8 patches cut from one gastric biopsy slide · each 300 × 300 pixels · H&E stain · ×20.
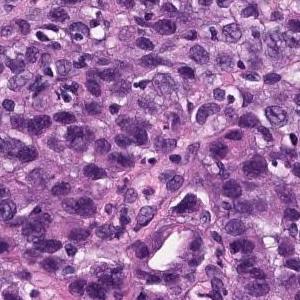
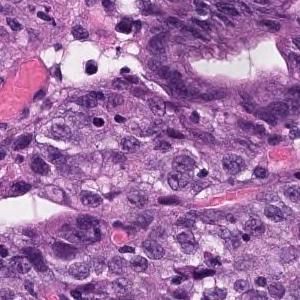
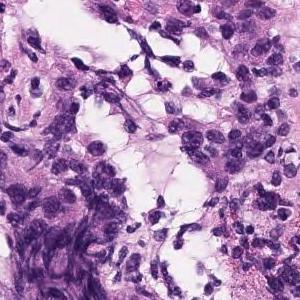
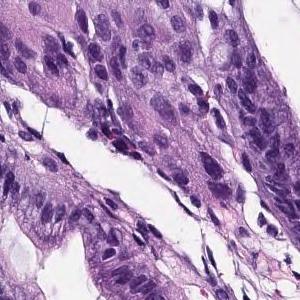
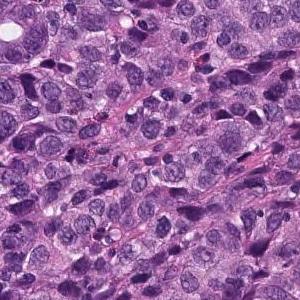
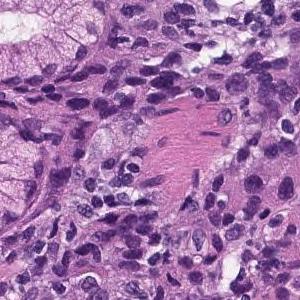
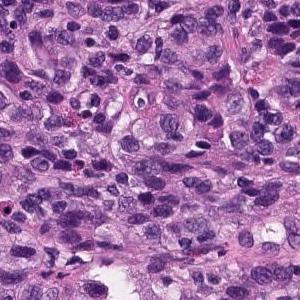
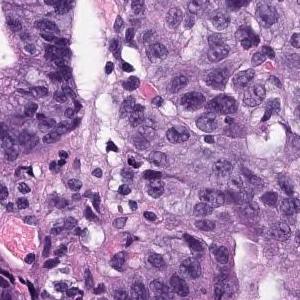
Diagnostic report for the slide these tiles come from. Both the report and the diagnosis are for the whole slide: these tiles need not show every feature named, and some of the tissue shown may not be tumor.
In the superficial epithelium, tumor tissue that invades by forming medium-sized to small, irregular ducts is observed. Moderately differentiated adenocarcinoma.
Tumor subtype: moderately differentiated tubular adenocarcinoma.
